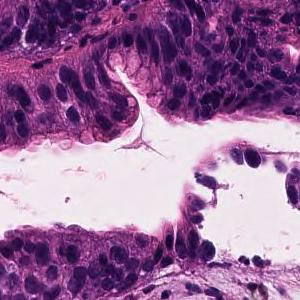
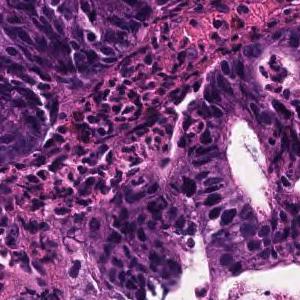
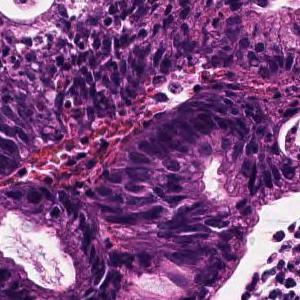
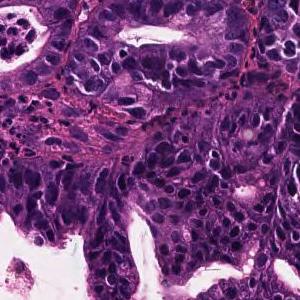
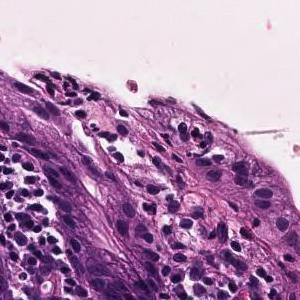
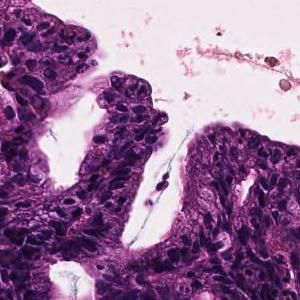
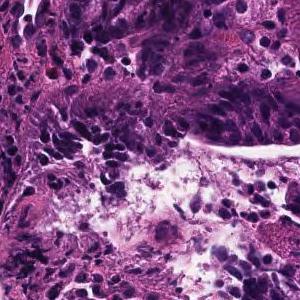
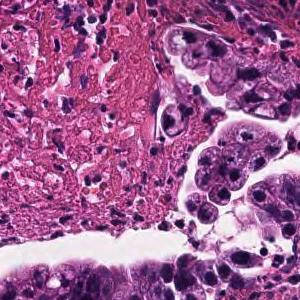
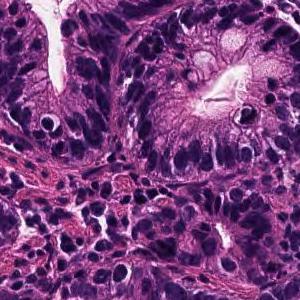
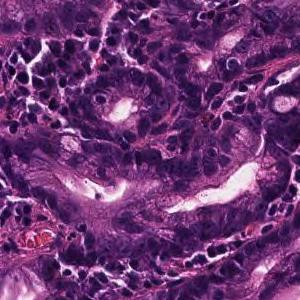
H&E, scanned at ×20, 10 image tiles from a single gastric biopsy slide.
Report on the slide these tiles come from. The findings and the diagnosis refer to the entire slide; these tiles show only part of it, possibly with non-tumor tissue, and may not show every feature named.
Tumor cells are large, highly columnar, large club-shaped nuclei, and are associated with chromatin aggregation. Papillary adenocarcinoma.
